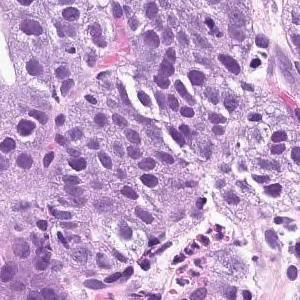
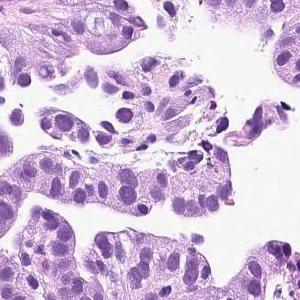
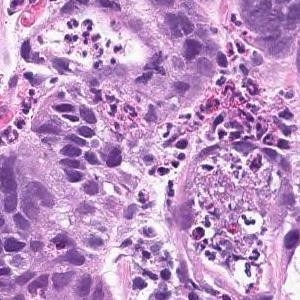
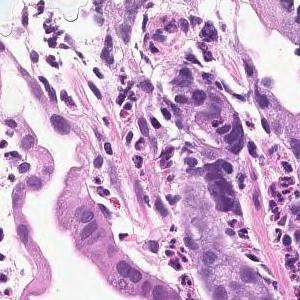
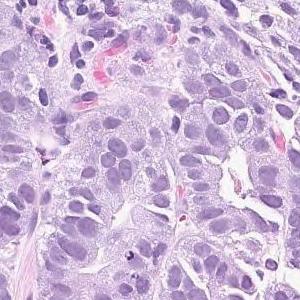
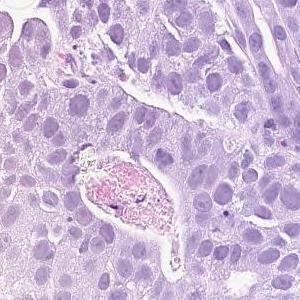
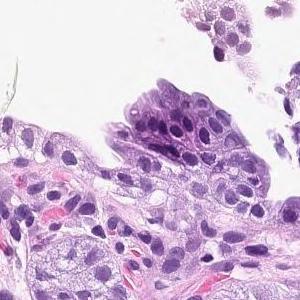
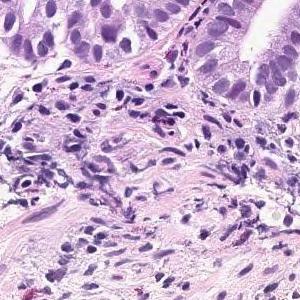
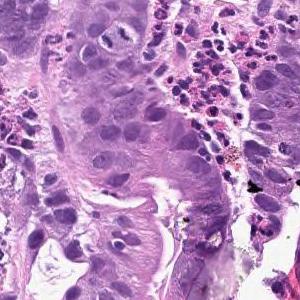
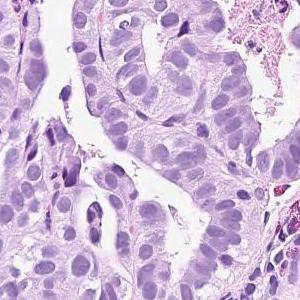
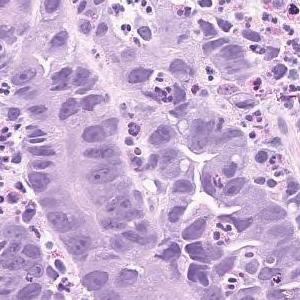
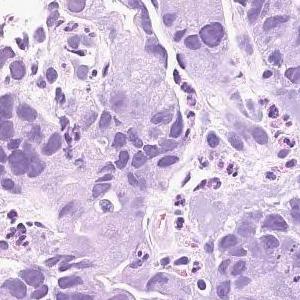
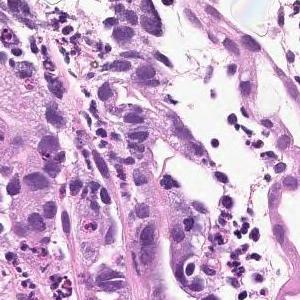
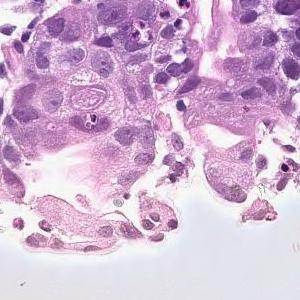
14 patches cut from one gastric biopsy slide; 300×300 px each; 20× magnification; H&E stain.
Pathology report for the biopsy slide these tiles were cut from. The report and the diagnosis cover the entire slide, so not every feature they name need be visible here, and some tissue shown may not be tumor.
Infiltrating tumor tissue is observed in the superficial epithelium, showing large papillary structures or large and small ducts. Papillary adenocarcinoma
